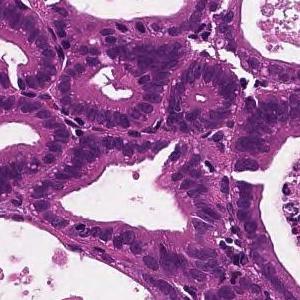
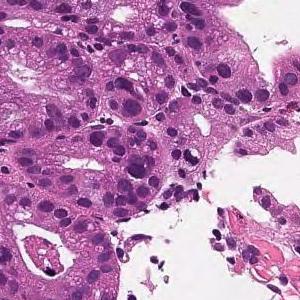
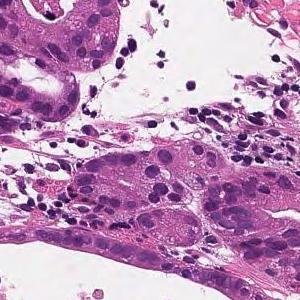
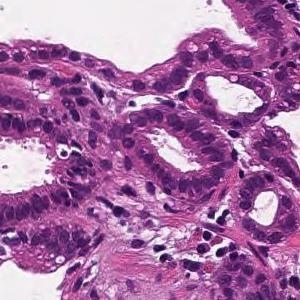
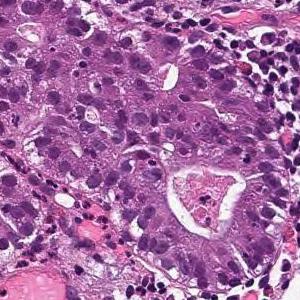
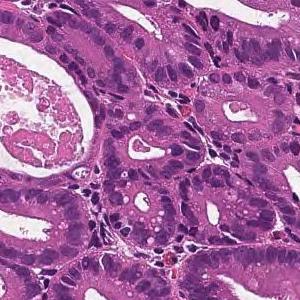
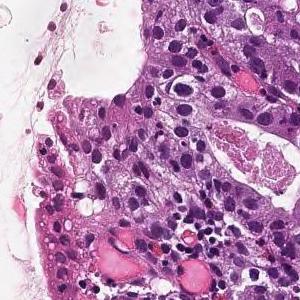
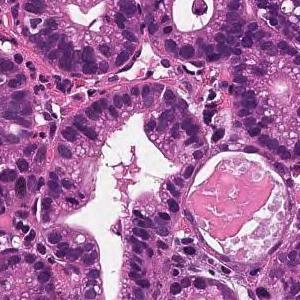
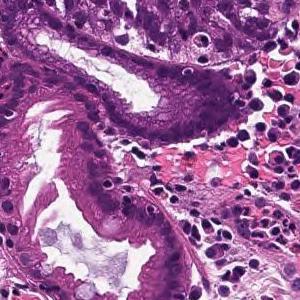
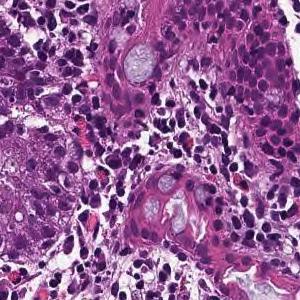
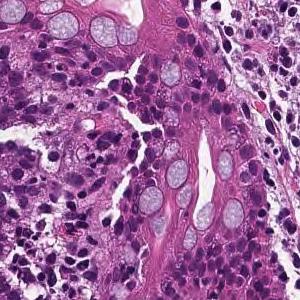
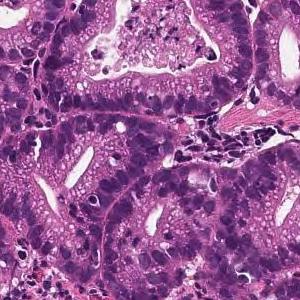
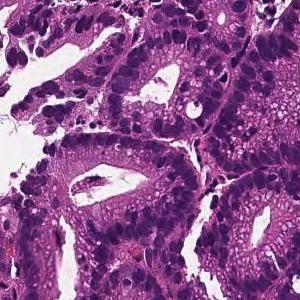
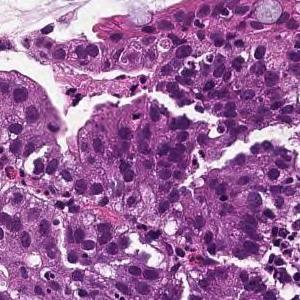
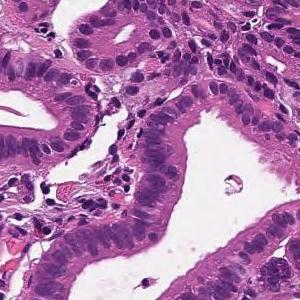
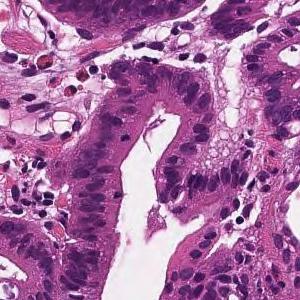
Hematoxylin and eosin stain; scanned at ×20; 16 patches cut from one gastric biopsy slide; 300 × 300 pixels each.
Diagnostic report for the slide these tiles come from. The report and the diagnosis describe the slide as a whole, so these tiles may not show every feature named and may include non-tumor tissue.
In the superficial epithelium, tumor tissue that invades by forming medium-sized to small, irregular ducts is observed. moderately differentiated tubular adenocarcinoma.
